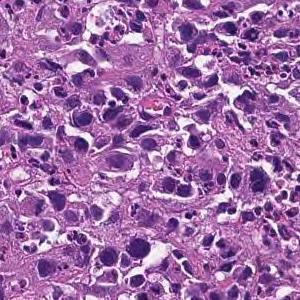
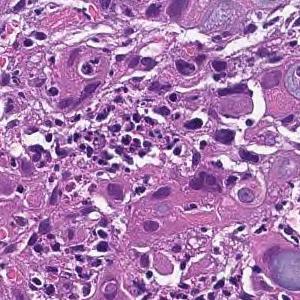
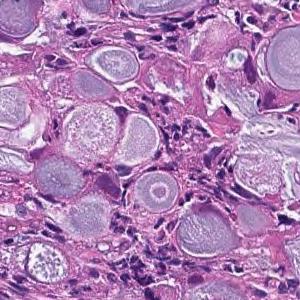
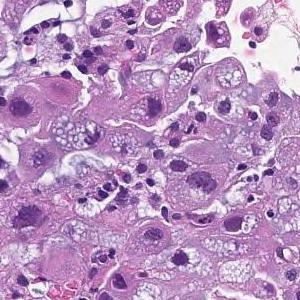
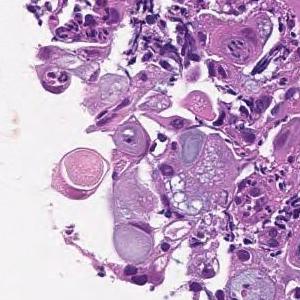
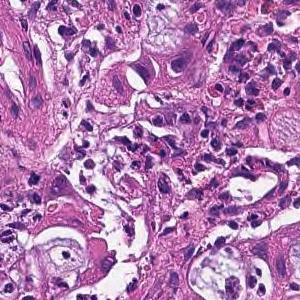
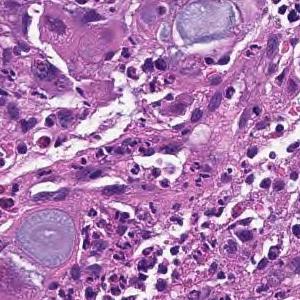
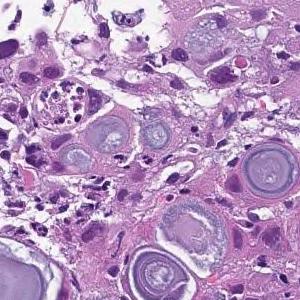
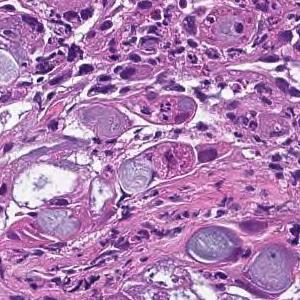
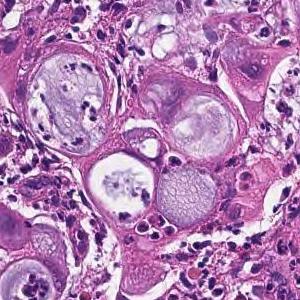
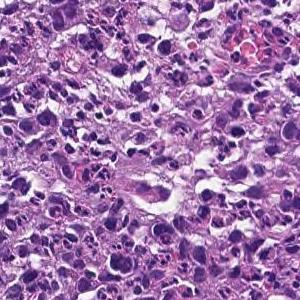
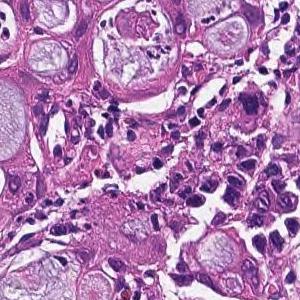
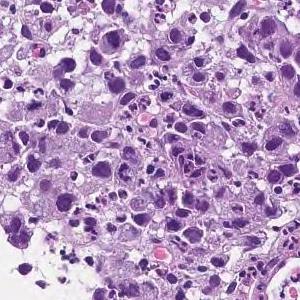
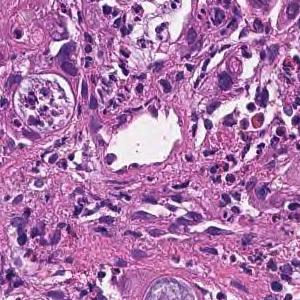
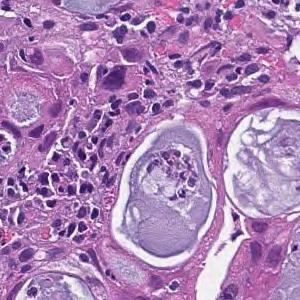
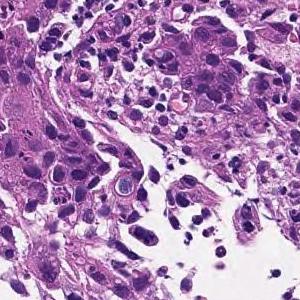
H&E stain · 16 patches cut from one gastric biopsy slide · 300×300 px each.
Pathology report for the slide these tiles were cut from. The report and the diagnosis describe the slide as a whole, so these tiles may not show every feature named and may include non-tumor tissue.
The superficial epithelium shows a large sheet-like shape, and some tumor tissue infiltrates with small irregular ducts. Poorly differentiated adenocarcinoma, solid-type
Subtype: Poorly differentiated adenocarcinoma, solid type. This name comes from the Japanese Classification of Gastric Carcinoma; the WHO 2019 classification calls it tubular adenocarcinoma, poorly differentiated.
